8 patches cut from one gastric biopsy slide, ×20.
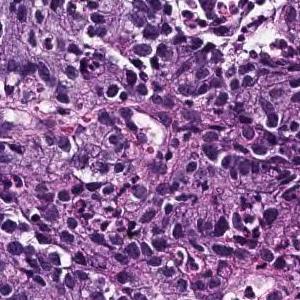
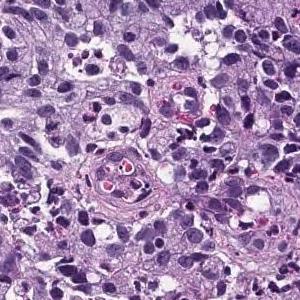
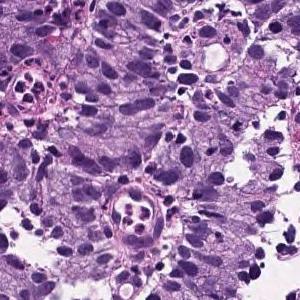
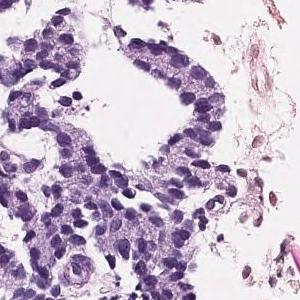
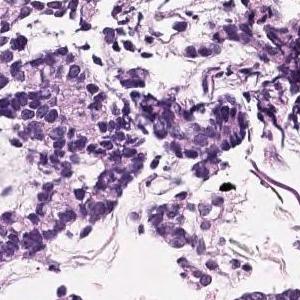
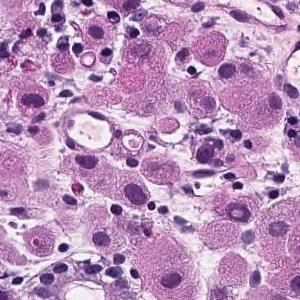
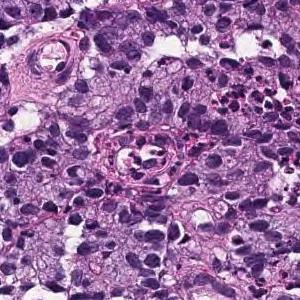
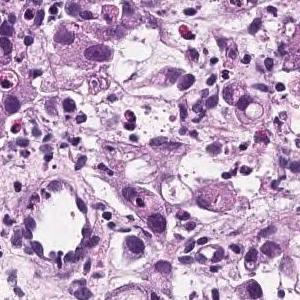
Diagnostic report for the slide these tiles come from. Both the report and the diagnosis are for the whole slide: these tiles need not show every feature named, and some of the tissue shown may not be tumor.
Tumor tissue infiltrated by irregular fusion of small cord-like structures is found in the superficial epithelium. Poorly differentiated adenocarcinoma, non-solid type
The term "non-solid type" comes from the Japanese Classification of Gastric Carcinoma.
